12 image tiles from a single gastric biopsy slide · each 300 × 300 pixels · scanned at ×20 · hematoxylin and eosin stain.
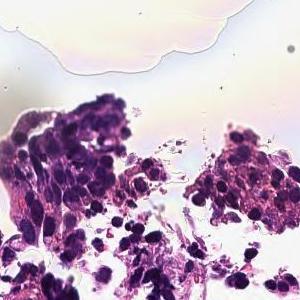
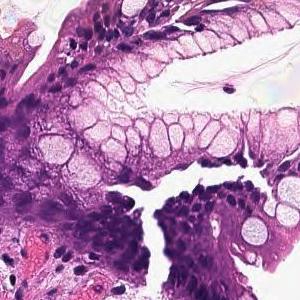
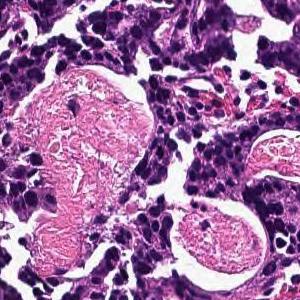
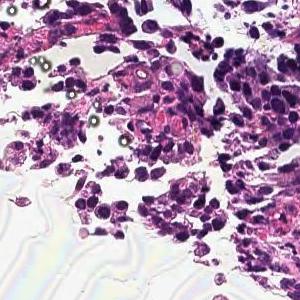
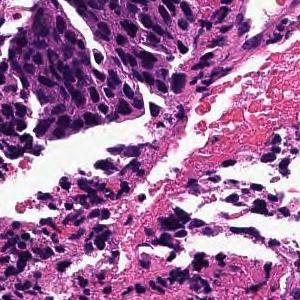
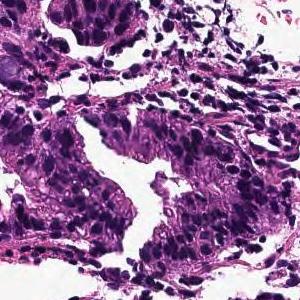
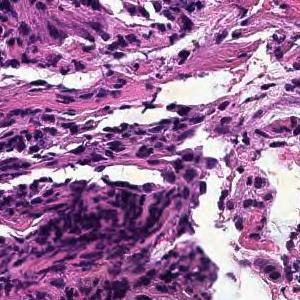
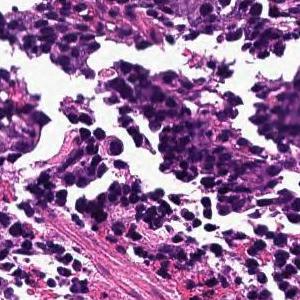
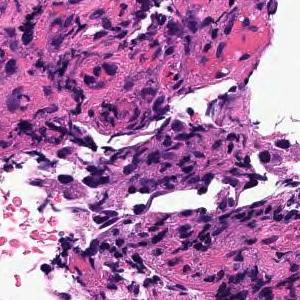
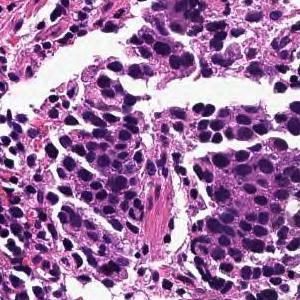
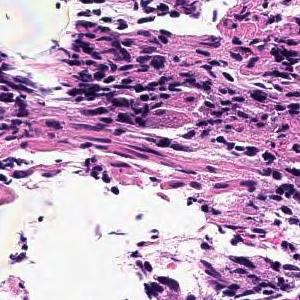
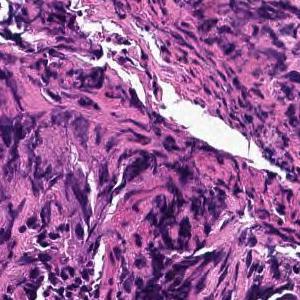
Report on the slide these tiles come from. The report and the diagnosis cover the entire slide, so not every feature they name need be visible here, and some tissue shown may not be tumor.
In the superficial epithelium, tumor tissue that invades by forming medium-sized to small, irregular ducts is observed. moderately differentiated tubular adenocarcinoma.
